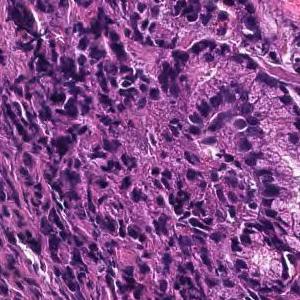
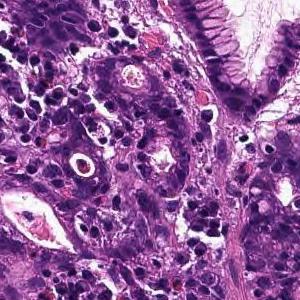
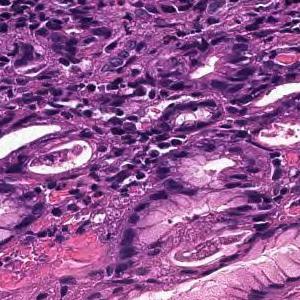
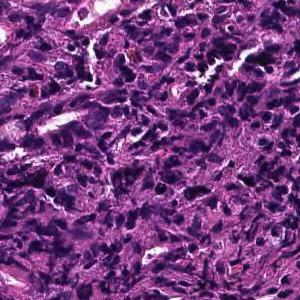
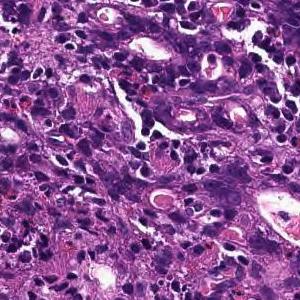
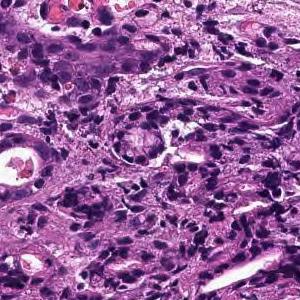
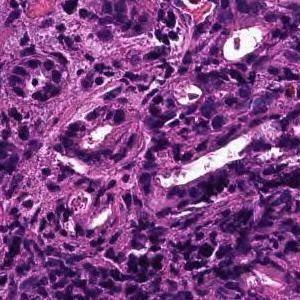
7 image tiles from a single gastric biopsy slide.
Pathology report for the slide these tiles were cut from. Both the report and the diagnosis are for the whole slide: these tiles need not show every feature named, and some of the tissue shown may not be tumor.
In the superficial epithelium, tumor tissue that invades by forming medium-sized to small, irregular ducts is observed. moderately differentiated tubular adenocarcinoma.
